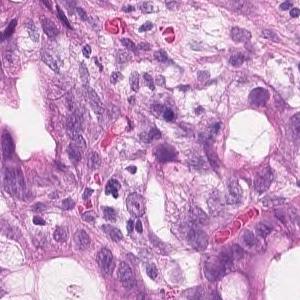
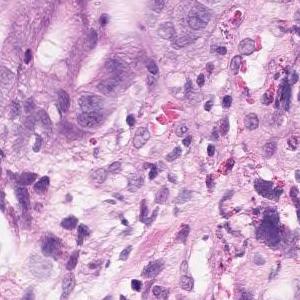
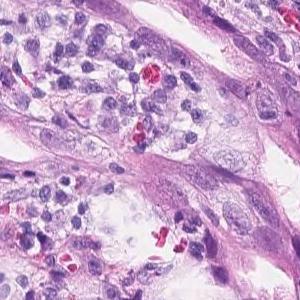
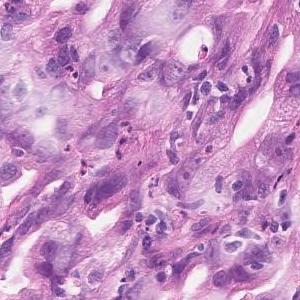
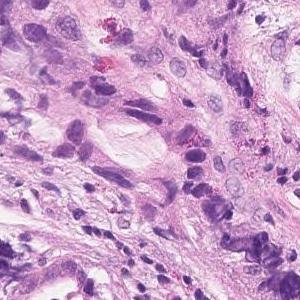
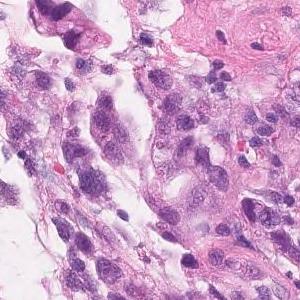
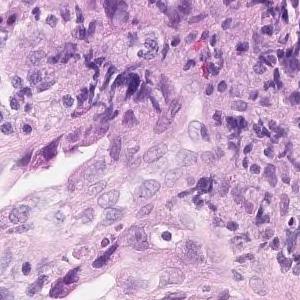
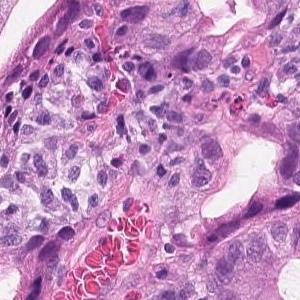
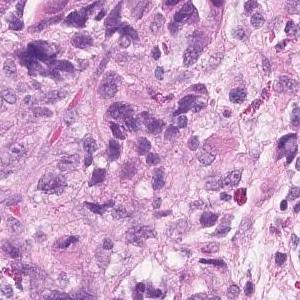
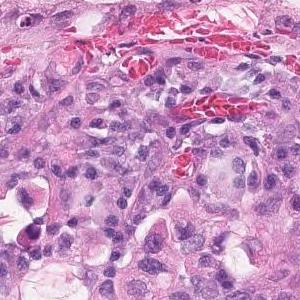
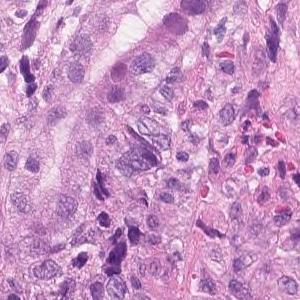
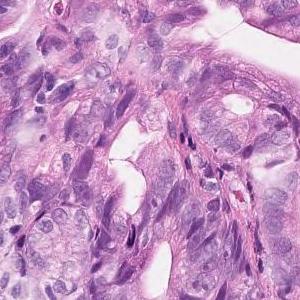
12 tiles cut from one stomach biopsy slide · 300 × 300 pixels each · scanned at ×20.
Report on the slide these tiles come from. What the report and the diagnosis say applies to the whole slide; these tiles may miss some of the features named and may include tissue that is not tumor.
Tumor tissue showing dense, fused or diffuse, and infiltrative growth of small atypical ducts is observed. moderately differentiated tubular adenocarcinoma
